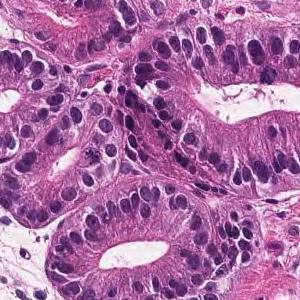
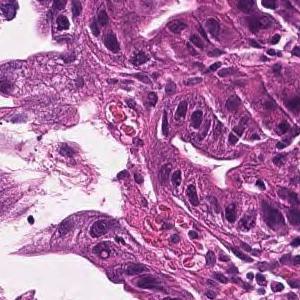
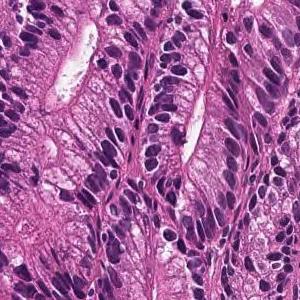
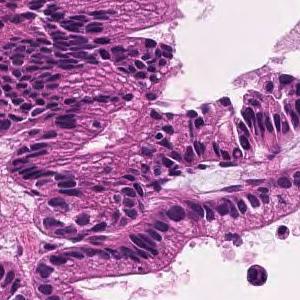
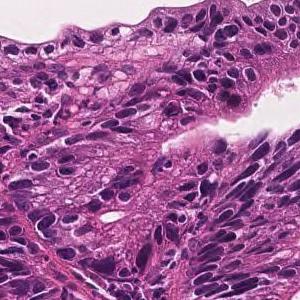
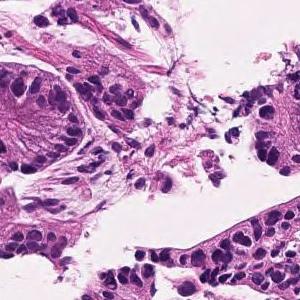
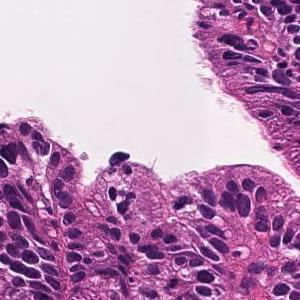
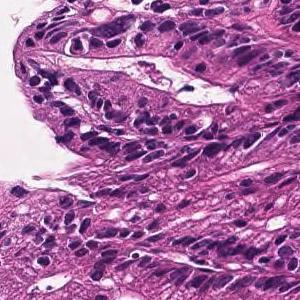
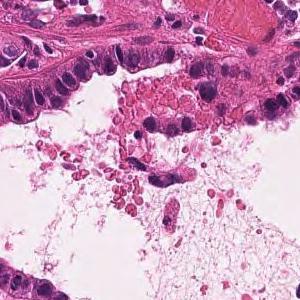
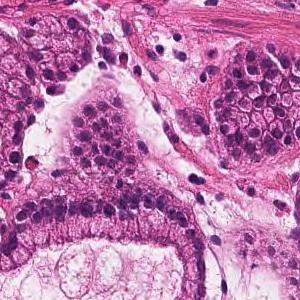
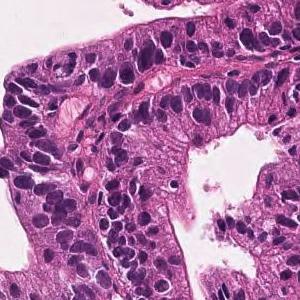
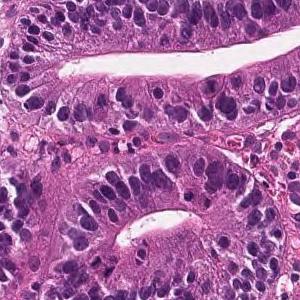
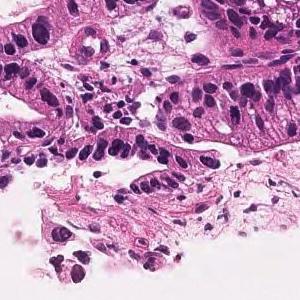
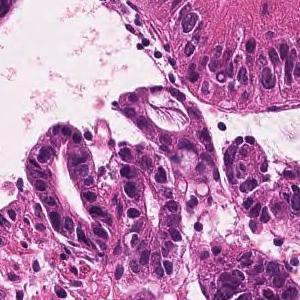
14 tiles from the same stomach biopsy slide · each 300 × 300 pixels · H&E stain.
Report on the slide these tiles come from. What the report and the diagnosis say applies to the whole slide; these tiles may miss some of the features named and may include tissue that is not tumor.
In the superficial epithelium, tumor tissue that invades by forming medium-sized to small, irregular ducts is observed. moderately differentiated tubular adenocarcinoma.
